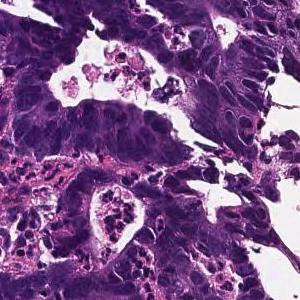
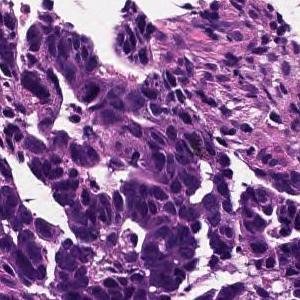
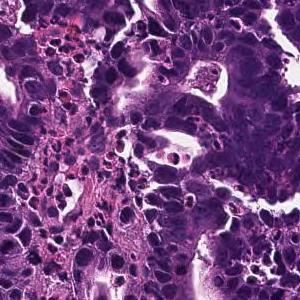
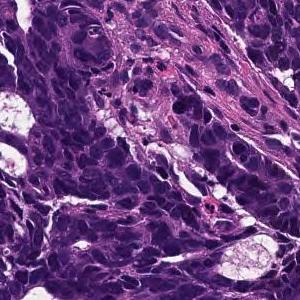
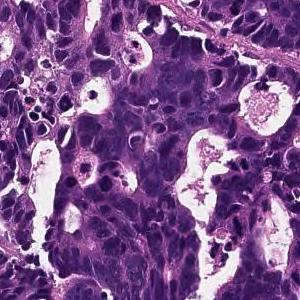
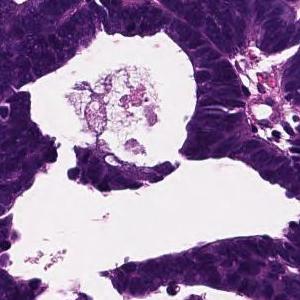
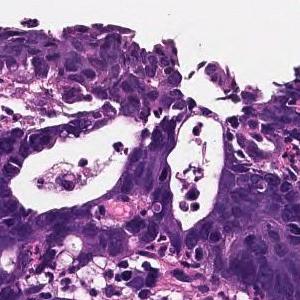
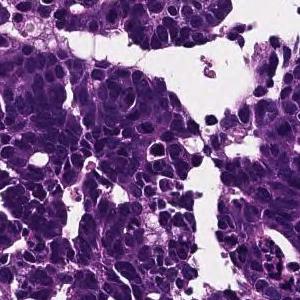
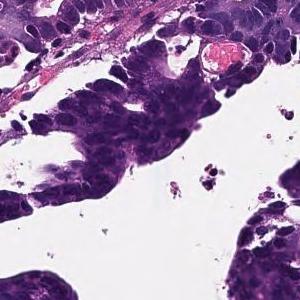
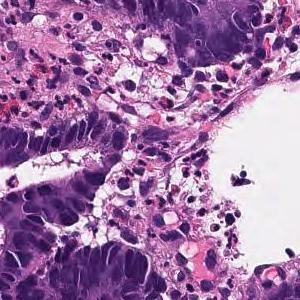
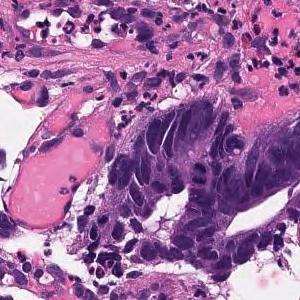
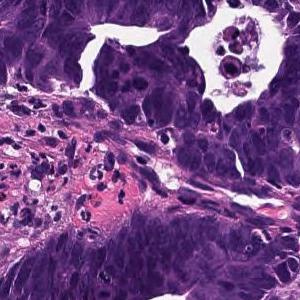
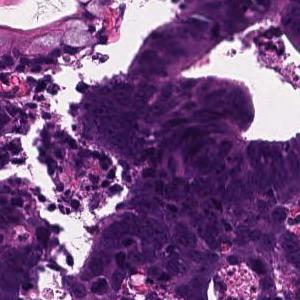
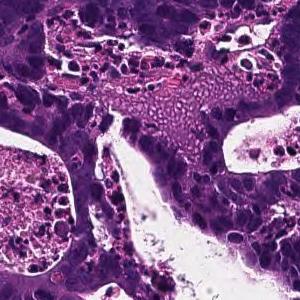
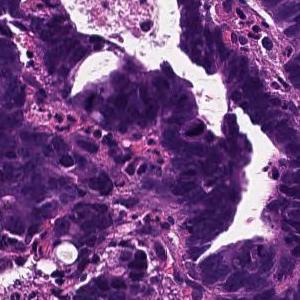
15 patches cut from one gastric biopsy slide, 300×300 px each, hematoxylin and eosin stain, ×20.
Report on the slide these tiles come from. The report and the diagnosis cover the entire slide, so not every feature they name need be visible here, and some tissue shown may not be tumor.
In the superficial epithelium, tumor tissue that invades by forming medium-sized to small, irregular ducts is observed. moderately differentiated tubular adenocarcinoma.
